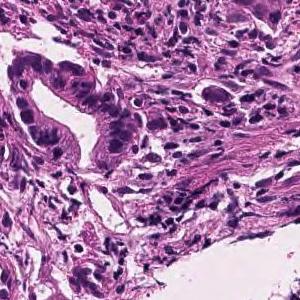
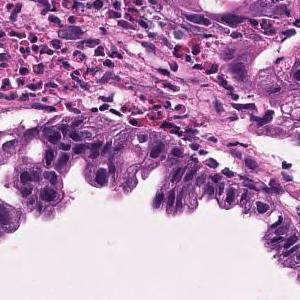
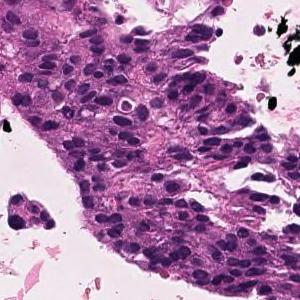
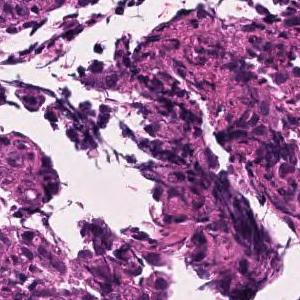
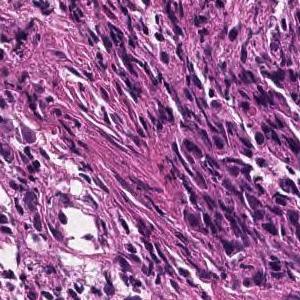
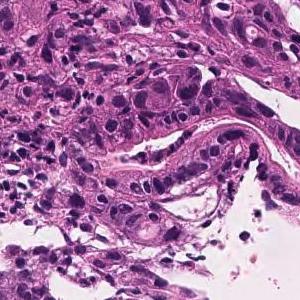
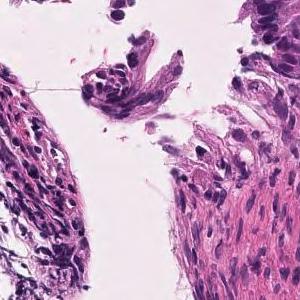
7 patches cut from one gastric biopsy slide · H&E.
Pathology report for the biopsy slide these tiles were cut from. The report describes the whole slide, diagnosis included: not every finding it names need appear in these tiles, which may also show non-tumor tissue.
Tumor tissue consisting of medium-sized, cord-like or irregular glandular infiltration is observed in the superficial epithelium. Poorly differentiated adenocarcinoma, non-solid type or moderately differentiated tubular adenocarcinoma
The term "non-solid type" comes from the Japanese Classification of Gastric Carcinoma.
